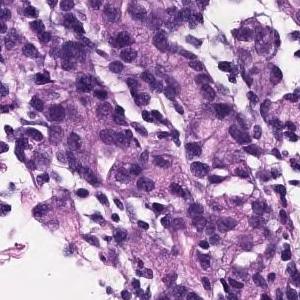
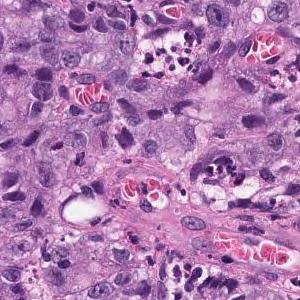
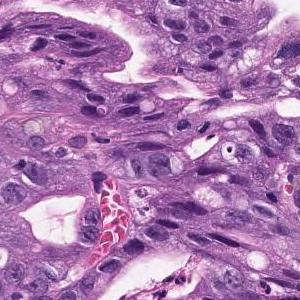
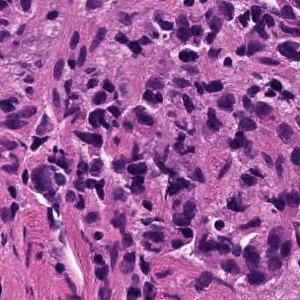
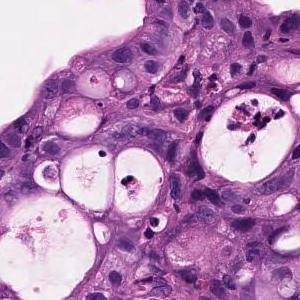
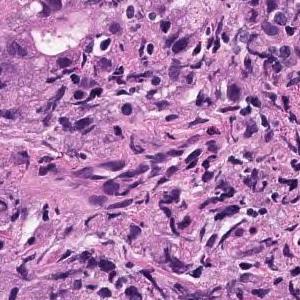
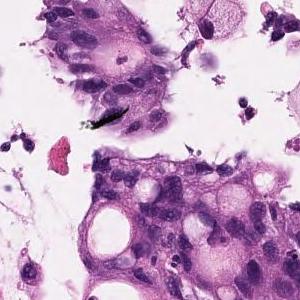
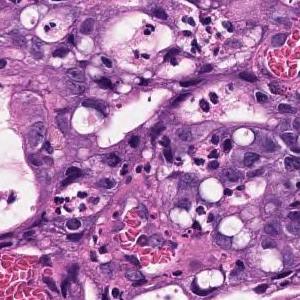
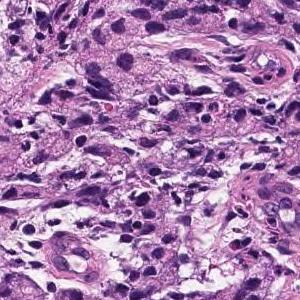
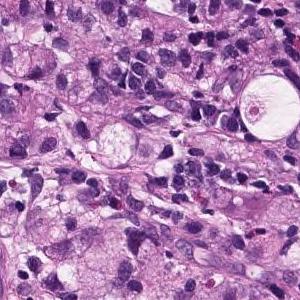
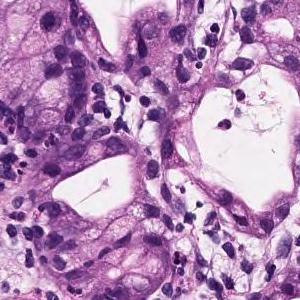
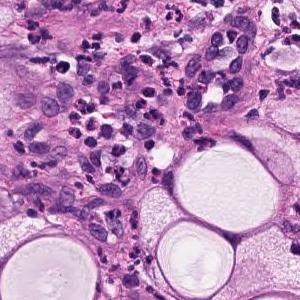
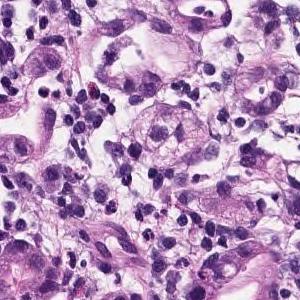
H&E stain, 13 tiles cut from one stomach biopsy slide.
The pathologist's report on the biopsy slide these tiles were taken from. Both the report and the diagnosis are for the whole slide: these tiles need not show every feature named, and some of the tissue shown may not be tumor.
Atypical epithelium forms irregularly fused gland ducts and proliferates. Poorly differentiated adenocarcinoma.
Tumor subtype: poorly differentiated adenocarcinoma, non-solid type.
"Non-solid type" is a category of the Japanese Classification of Gastric Carcinoma.
